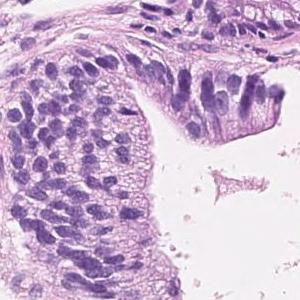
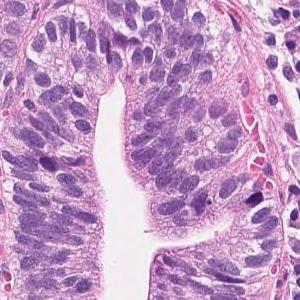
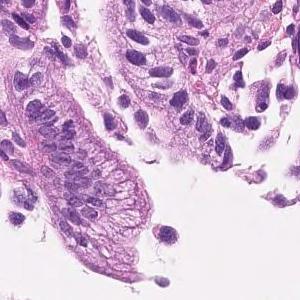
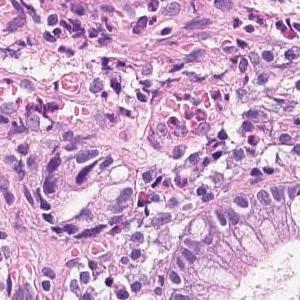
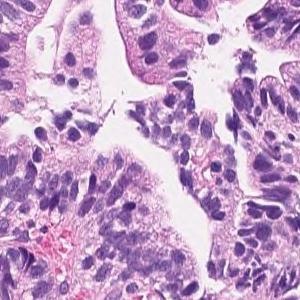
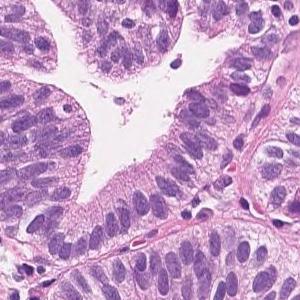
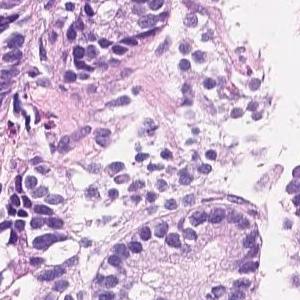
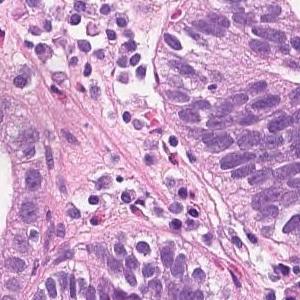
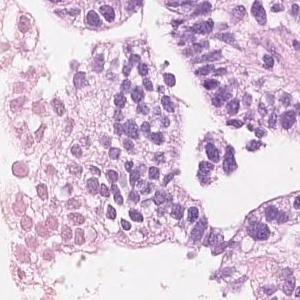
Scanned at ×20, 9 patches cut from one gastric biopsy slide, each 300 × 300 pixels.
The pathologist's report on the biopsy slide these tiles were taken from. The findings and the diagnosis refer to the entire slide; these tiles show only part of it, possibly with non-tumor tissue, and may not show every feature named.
On the superficial epithelium, there is a tumor tissue consisting of medium to small, irregular tubules that are partially fused and proliferated. Well to moderately differentiated tubular adenocarcinoma
